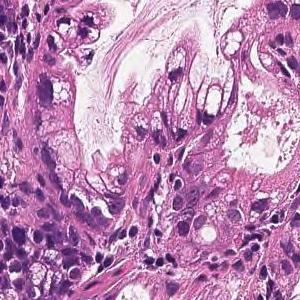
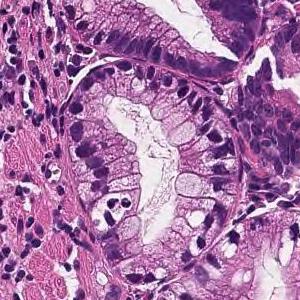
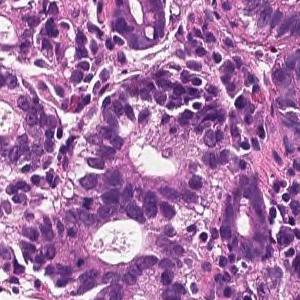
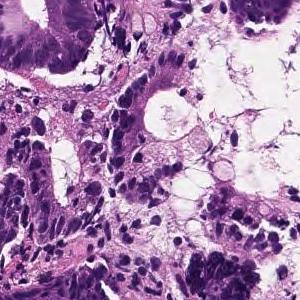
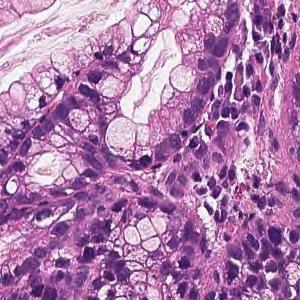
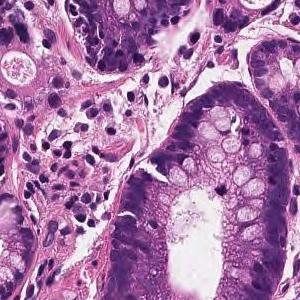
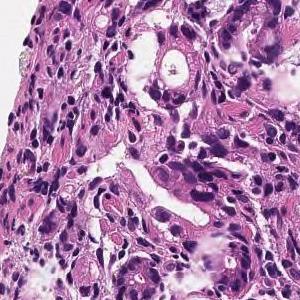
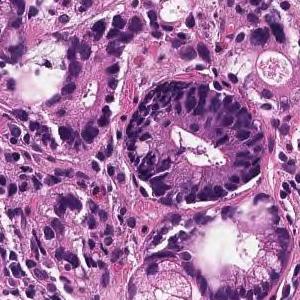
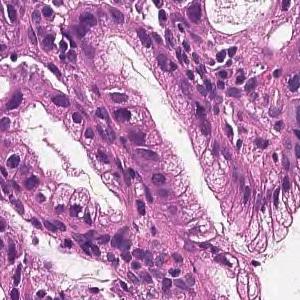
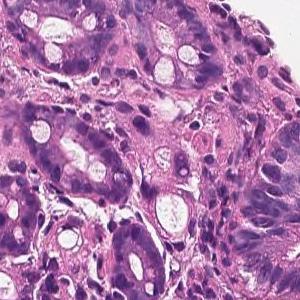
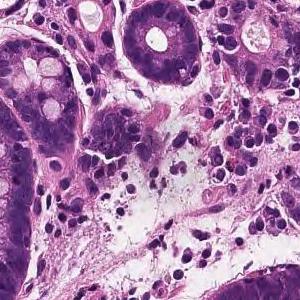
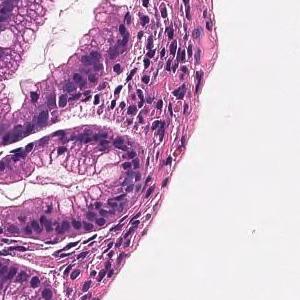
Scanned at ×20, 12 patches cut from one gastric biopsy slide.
Pathology report for the biopsy slide these tiles were cut from. The report and the diagnosis cover the entire slide, so not every feature they name need be visible here, and some tissue shown may not be tumor.
From the superficial epithelium to the muscularis mucosae, tumor tissue consisting of medium-sized and irregular glandular ducts infiltrating is observed. Well differentiated tubular adenocarcinoma
